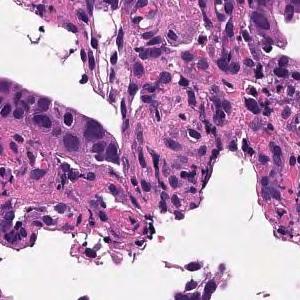
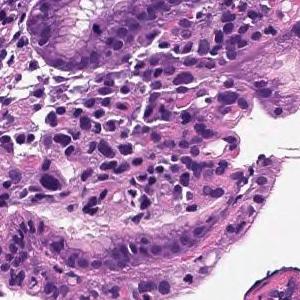
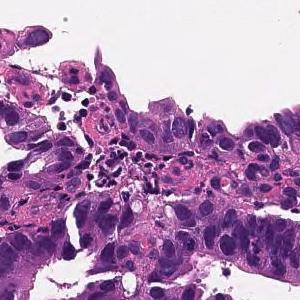
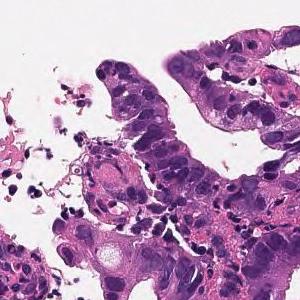
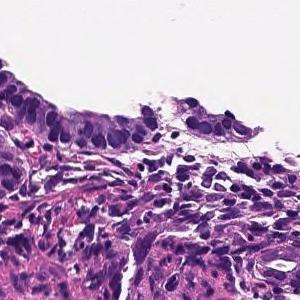
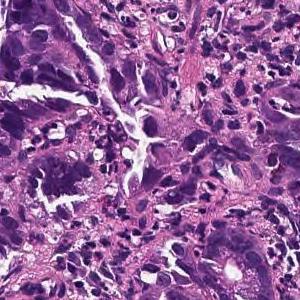
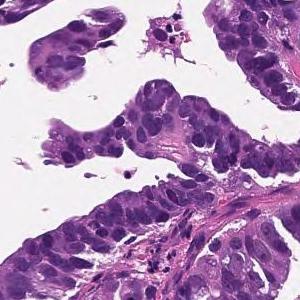
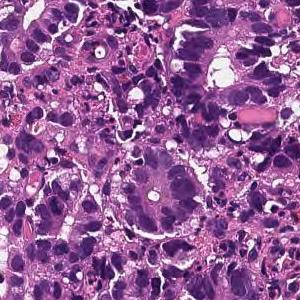
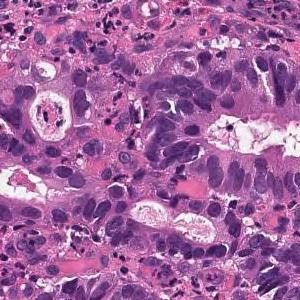
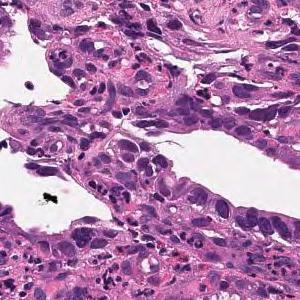
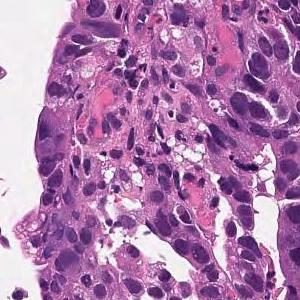
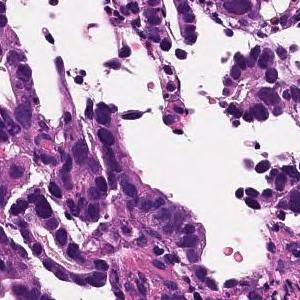
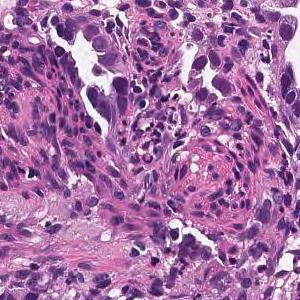
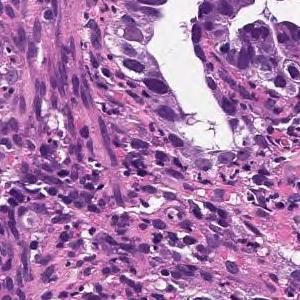
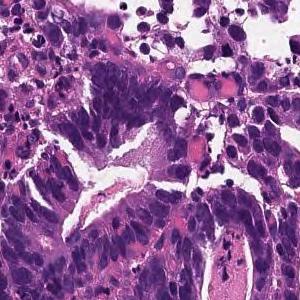
×20; hematoxylin and eosin stain; 15 tiles from the same stomach biopsy slide.
Pathology report for the biopsy slide these tiles were cut from. The report and the diagnosis cover the entire slide, so not every feature they name need be visible here, and some tissue shown may not be tumor.
Tumor cells are large, highly columnar, large club-shaped nuclei, and are associated with chromatin aggregation. Papillary adenocarcinoma.
